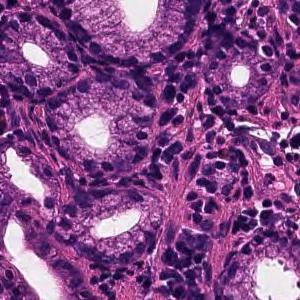
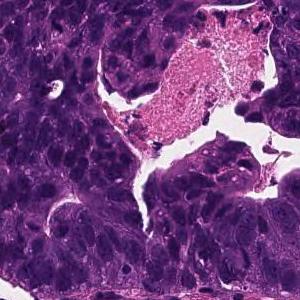
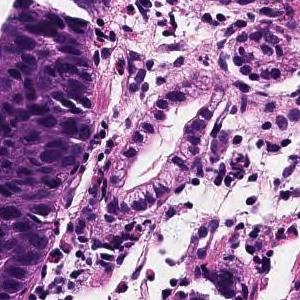
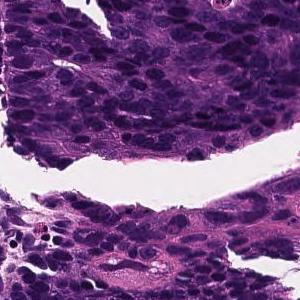
H&E stain · 4 image tiles from a single gastric biopsy slide.
Report on the slide these tiles come from. The findings and the diagnosis refer to the entire slide; these tiles show only part of it, possibly with non-tumor tissue, and may not show every feature named.
In the superficial epithelium, tumor tissue that invades by forming medium-sized to small, irregular ducts is observed. moderately differentiated tubular adenocarcinoma.
